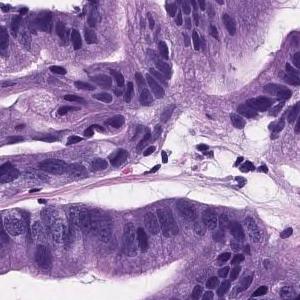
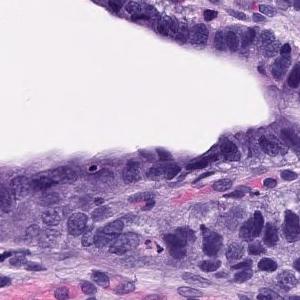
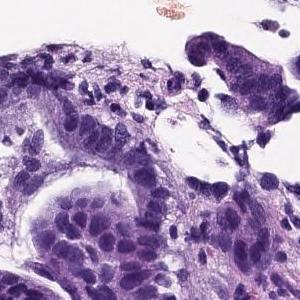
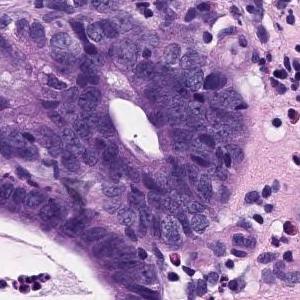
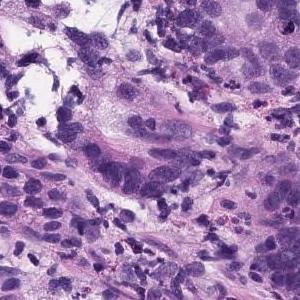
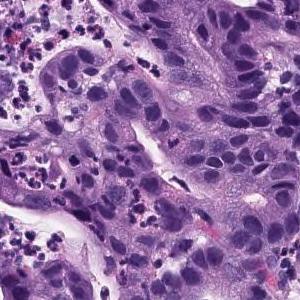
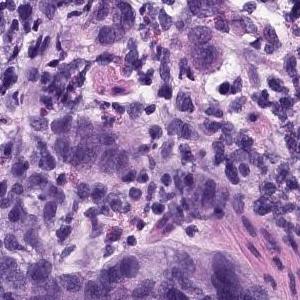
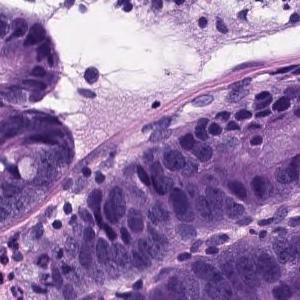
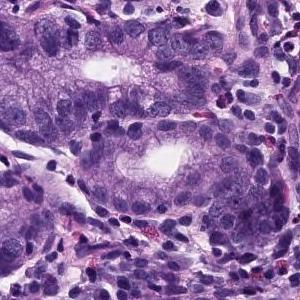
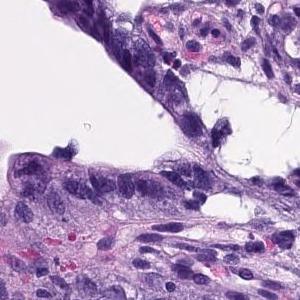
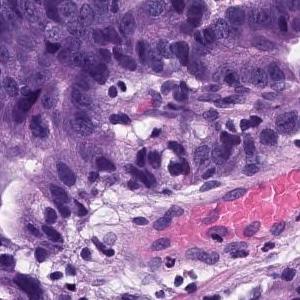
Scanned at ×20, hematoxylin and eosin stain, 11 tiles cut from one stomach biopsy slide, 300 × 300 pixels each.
The pathologist's report on the biopsy slide these tiles were taken from. What the report and the diagnosis say applies to the whole slide; these tiles may miss some of the features named and may include tissue that is not tumor.
Tumor tissue consisting of large papillary structures is found in the superficial epithelium. Papillary adenocarcinoma.
